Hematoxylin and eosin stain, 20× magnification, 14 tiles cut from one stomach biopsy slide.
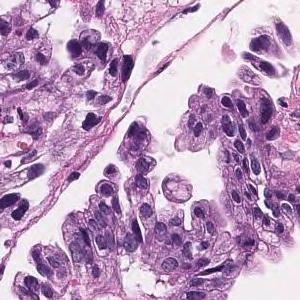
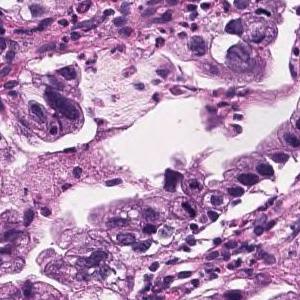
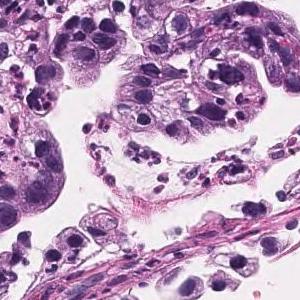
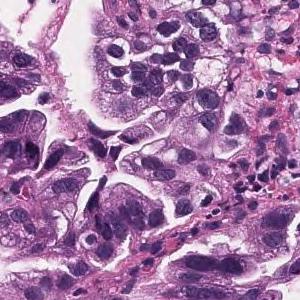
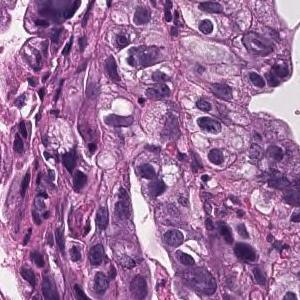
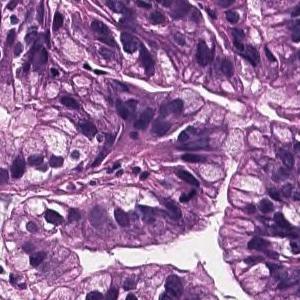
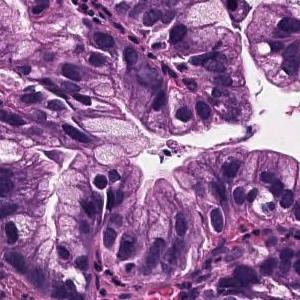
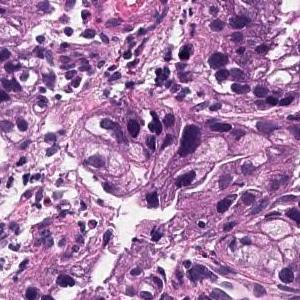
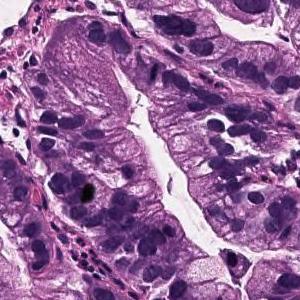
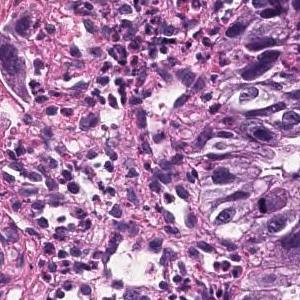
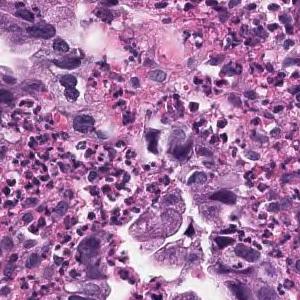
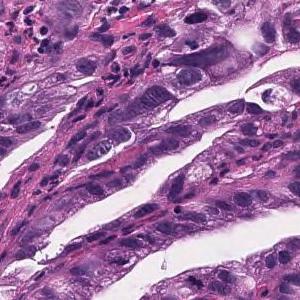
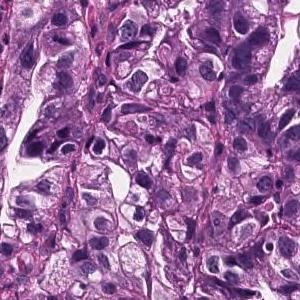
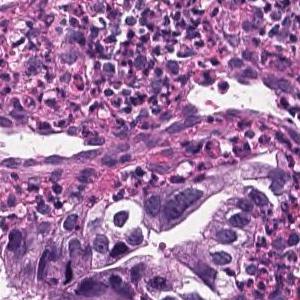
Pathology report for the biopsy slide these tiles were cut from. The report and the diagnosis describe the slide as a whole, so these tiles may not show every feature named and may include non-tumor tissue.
Tumor cells are large, highly columnar, large club-shaped nuclei, and are associated with chromatin aggregation. Papillary adenocarcinoma.
